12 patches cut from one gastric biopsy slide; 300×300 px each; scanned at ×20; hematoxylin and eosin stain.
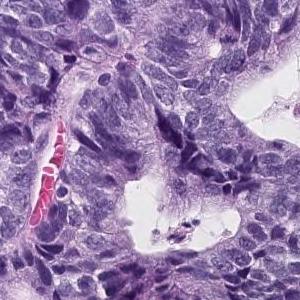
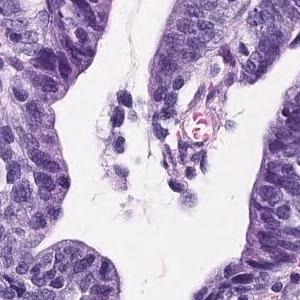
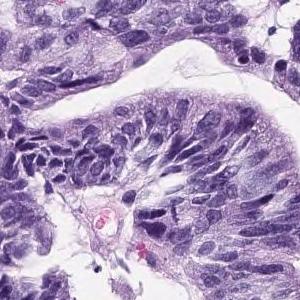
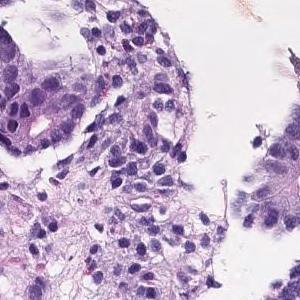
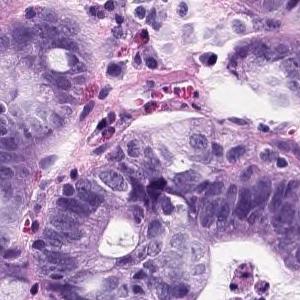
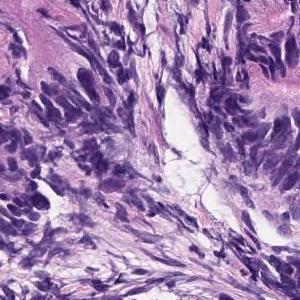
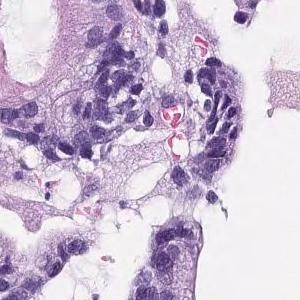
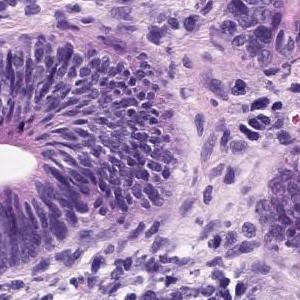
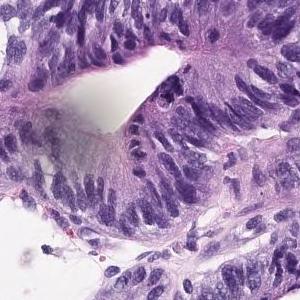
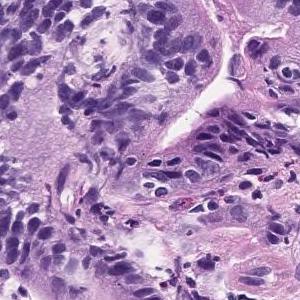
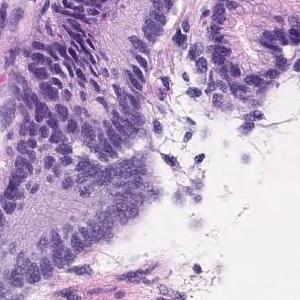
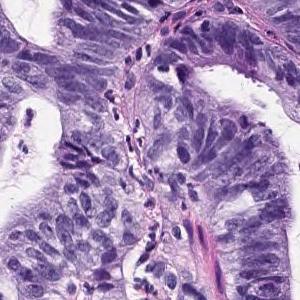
Diagnostic report for the slide these tiles come from. The report describes the whole slide, diagnosis included: not every finding it names need appear in these tiles, which may also show non-tumor tissue.
On the superficial epithelium, tumor tissue consisting of medium-sized to large-sized, round or irregular glandular duct growth images is observed. Well differentiated adenocarcinoma.
Tumor subtype: well differentiated tubular adenocarcinoma.
